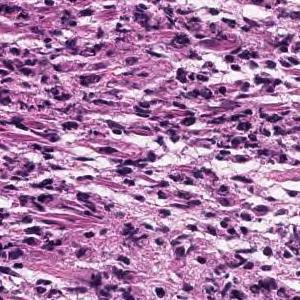
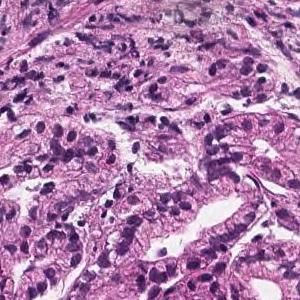
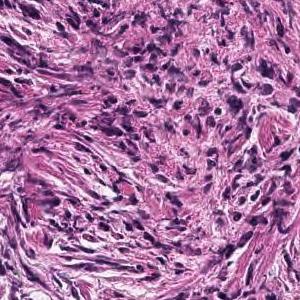
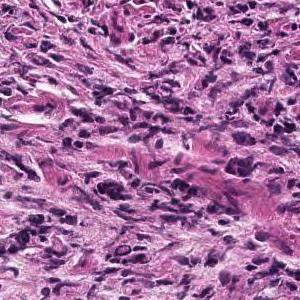
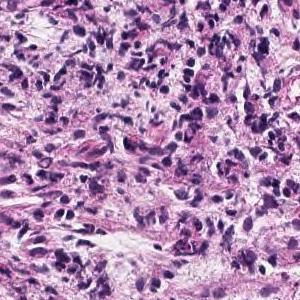
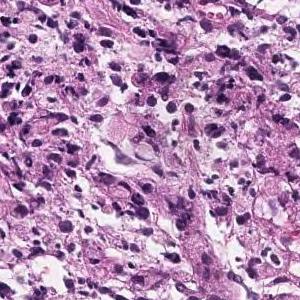
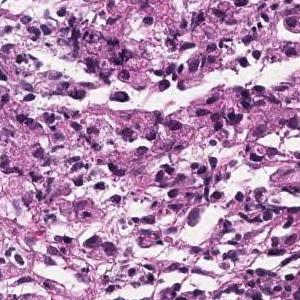
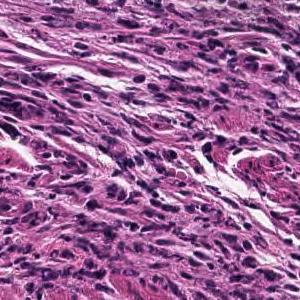
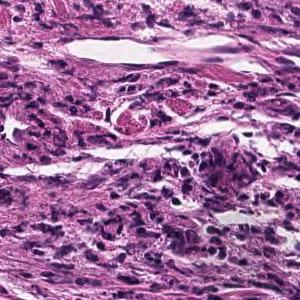
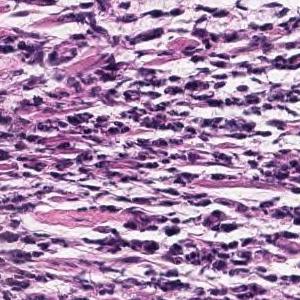
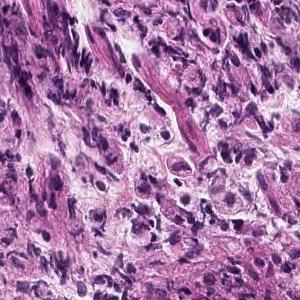
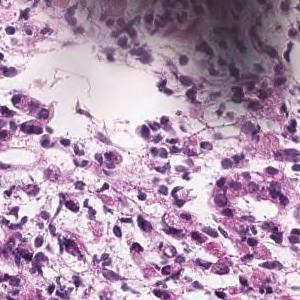
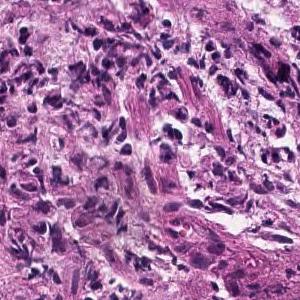
Hematoxylin and eosin stain; 20× magnification; 13 patches cut from one gastric biopsy slide.
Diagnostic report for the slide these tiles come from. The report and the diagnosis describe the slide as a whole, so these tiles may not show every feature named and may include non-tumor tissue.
In the lamina propria, a tumor tissue consisting of signet ring cell type atypical epithelial cells infiltrating is observed. Signet ring cell carcinoma.
